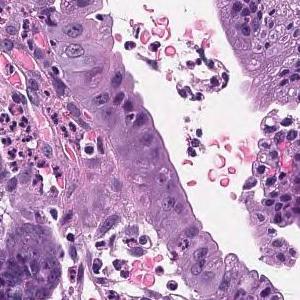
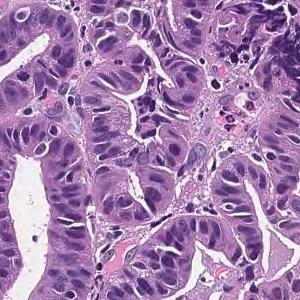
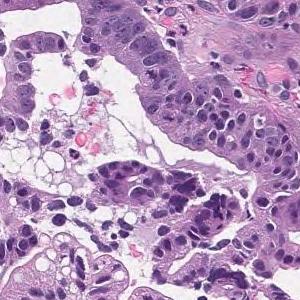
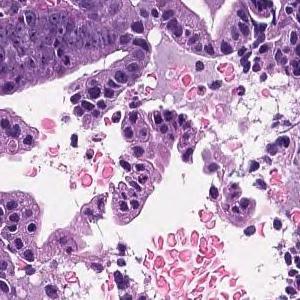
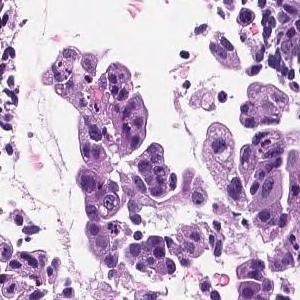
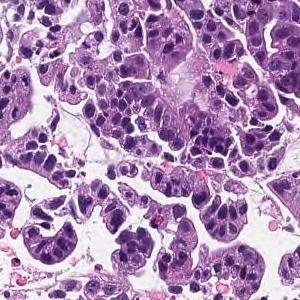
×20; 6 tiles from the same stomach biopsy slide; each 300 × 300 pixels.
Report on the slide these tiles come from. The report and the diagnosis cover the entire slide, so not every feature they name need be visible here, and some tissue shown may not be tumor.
Tumor cells are large, highly columnar, large club-shaped nuclei, and are associated with chromatin aggregation. Papillary adenocarcinoma.
